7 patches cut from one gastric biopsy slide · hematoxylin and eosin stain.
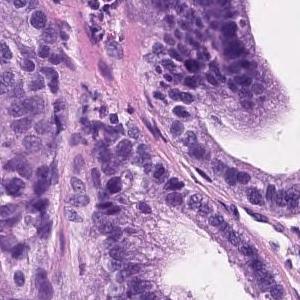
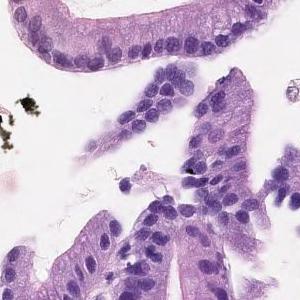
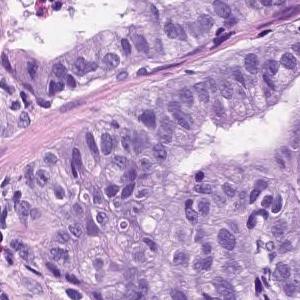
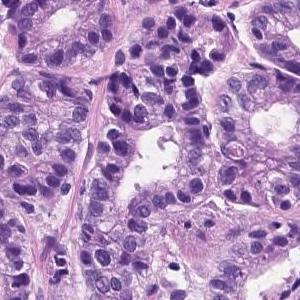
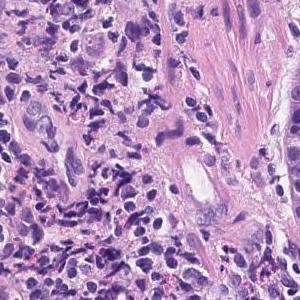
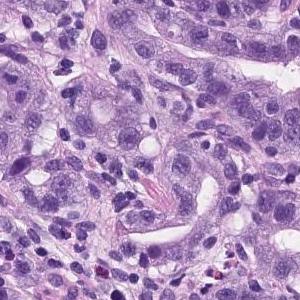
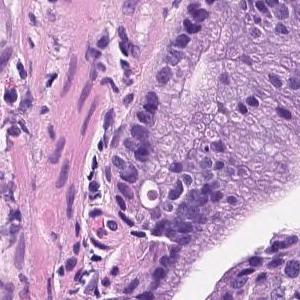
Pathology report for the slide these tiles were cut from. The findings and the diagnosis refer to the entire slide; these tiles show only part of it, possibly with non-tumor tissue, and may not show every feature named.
Tumor tissue consisting of medium-sized and irregular ducts is observed infiltrating in the superficial epithelium. Tumor cells are highly columnar, with nuclei aligned basolaterally and polarized. Well differentiated tubular adenocarcinoma.
